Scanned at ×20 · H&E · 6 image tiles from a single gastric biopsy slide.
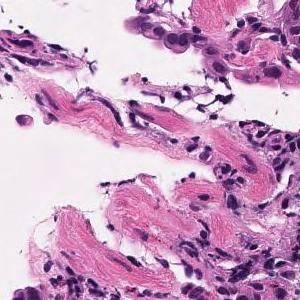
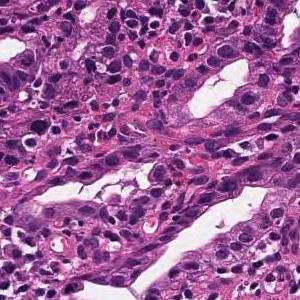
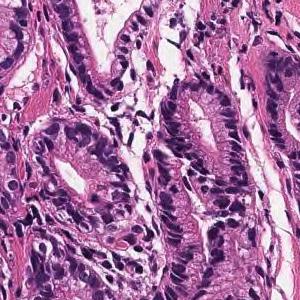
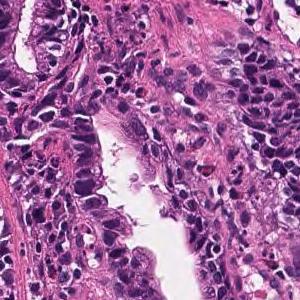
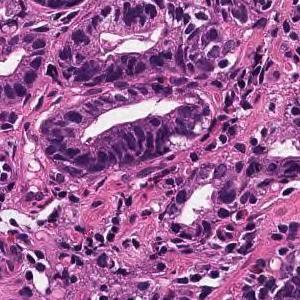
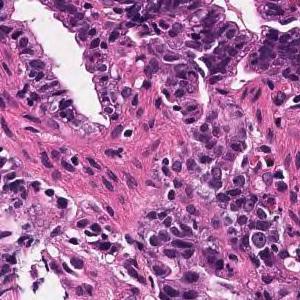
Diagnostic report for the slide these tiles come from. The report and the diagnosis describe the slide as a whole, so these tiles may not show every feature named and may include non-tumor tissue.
Tumor tissue in which medium to small irregular ducts infiltrate and proliferate in the submucosa can be seen in the epithelium. Well differentiated tubular adenocarcinoma
